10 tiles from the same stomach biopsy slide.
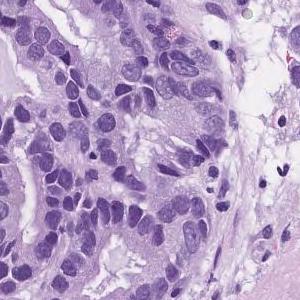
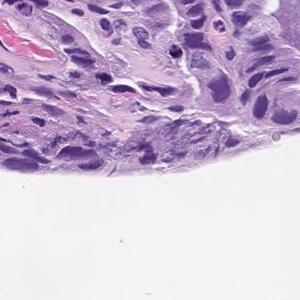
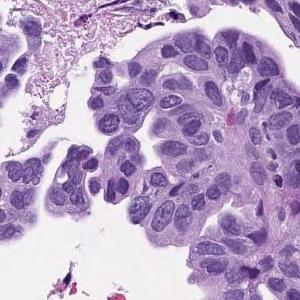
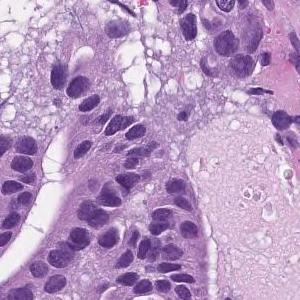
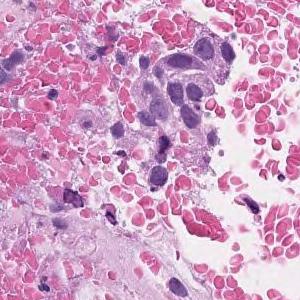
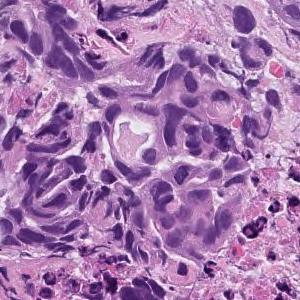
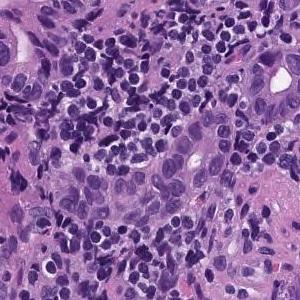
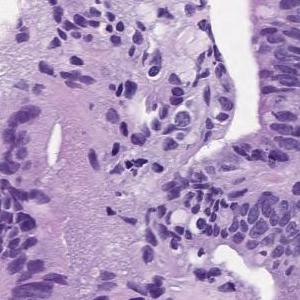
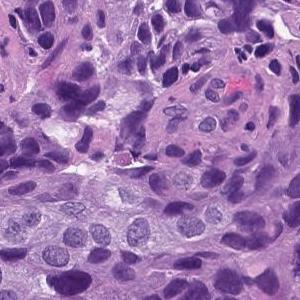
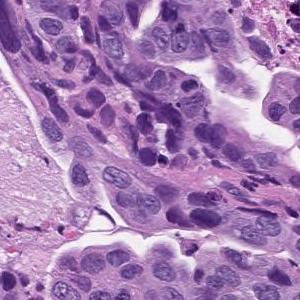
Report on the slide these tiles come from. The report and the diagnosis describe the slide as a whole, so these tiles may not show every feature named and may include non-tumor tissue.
In the superficial epithelium, tumor tissue that invades by forming medium-sized to small, irregular ducts is observed. moderately differentiated tubular adenocarcinoma.
